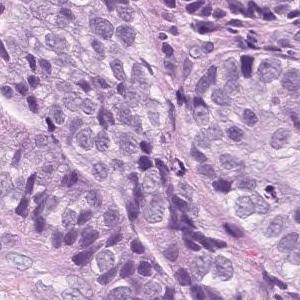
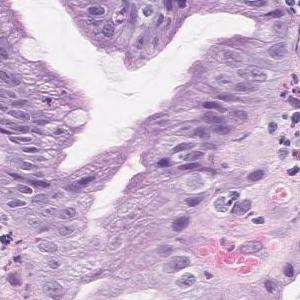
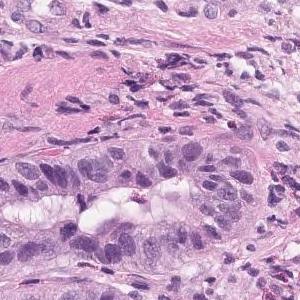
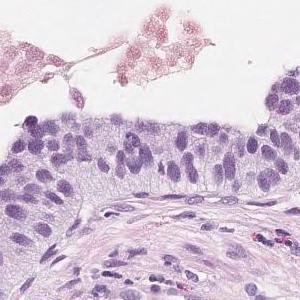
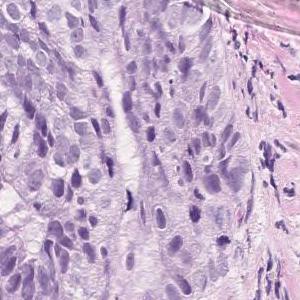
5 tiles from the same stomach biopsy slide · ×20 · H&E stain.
Diagnostic report for the slide these tiles come from. Both the report and the diagnosis are for the whole slide: these tiles need not show every feature named, and some of the tissue shown may not be tumor.
Tumor tissue in which highly columnar atypical epithelial cells with nuclear enlargement and increased nuclear chromatin show papillary to papillary ductal structure and proliferate is observed. Papillary adenocarcinoma.
